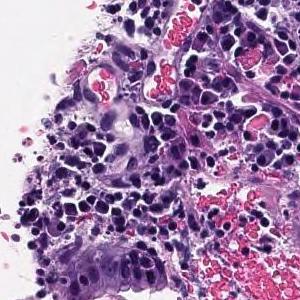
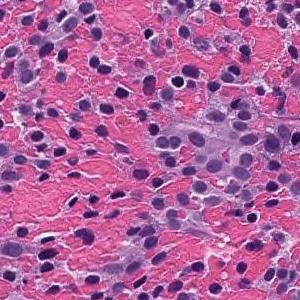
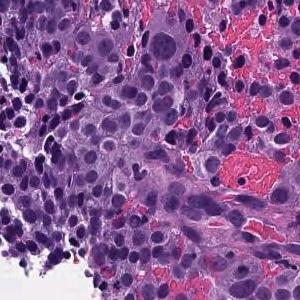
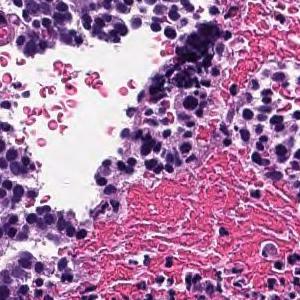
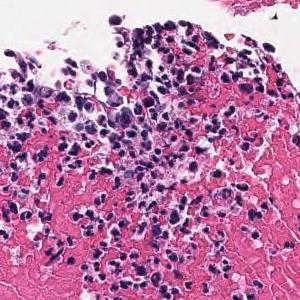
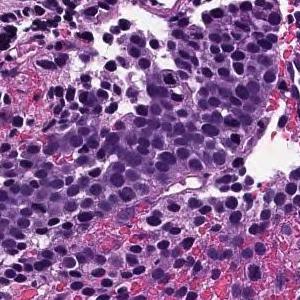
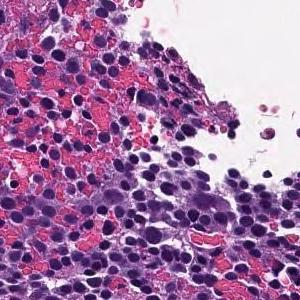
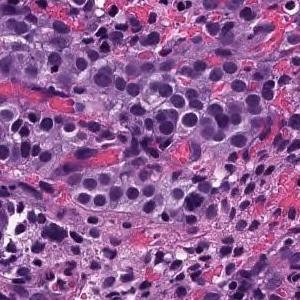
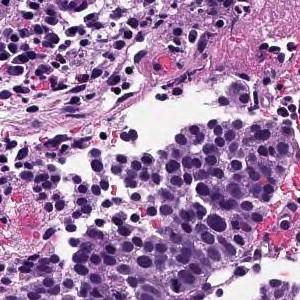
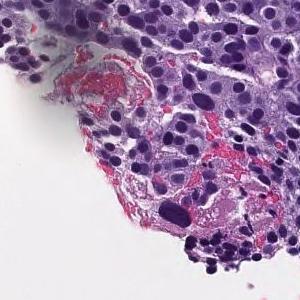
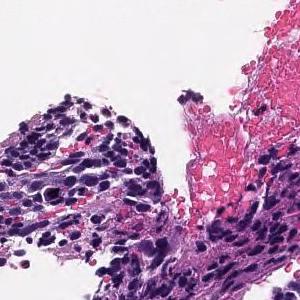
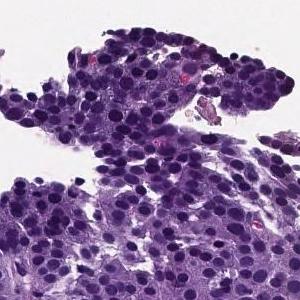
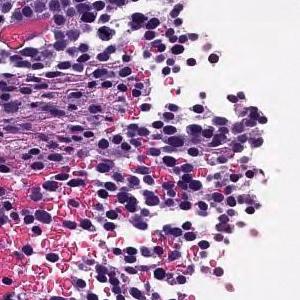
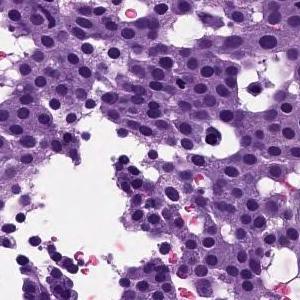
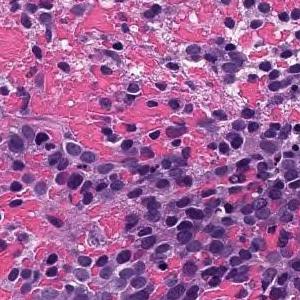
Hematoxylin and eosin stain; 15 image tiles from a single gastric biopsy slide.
Diagnostic report for the slide these tiles come from. The report describes the whole slide, diagnosis included: not every finding it names need appear in these tiles, which may also show non-tumor tissue.
The superficial epithelium shows a large sheet-like shape, and some tumor tissue infiltrates with small irregular ducts. Poorly differentiated adenocarcinoma, solid-type
Tumor subtype: poorly differentiated adenocarcinoma, solid type, a category of the Japanese Classification of Gastric Carcinoma; in the WHO 2019 classification it is tubular adenocarcinoma, poorly differentiated.
